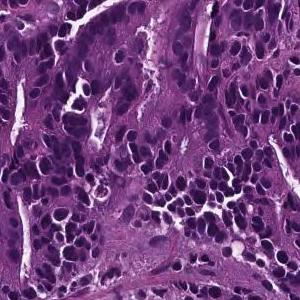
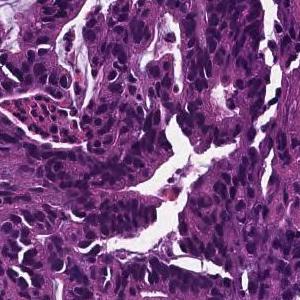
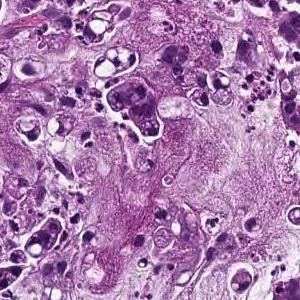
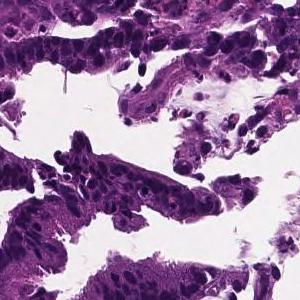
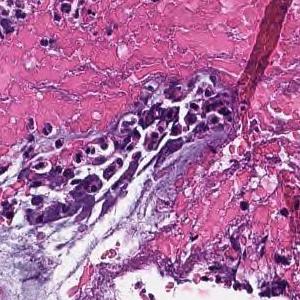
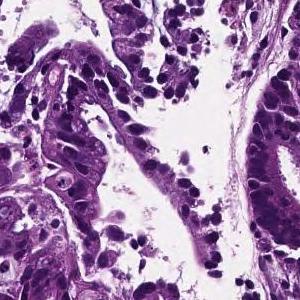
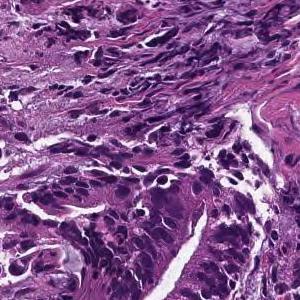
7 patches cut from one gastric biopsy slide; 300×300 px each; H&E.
Pathology report for the biopsy slide these tiles were cut from. Both the report and the diagnosis are for the whole slide: these tiles need not show every feature named, and some of the tissue shown may not be tumor.
On the superficial epithelium, tumor tissue consisting of large irregular glandular ducts partially fused and infiltrated is observed. Well to moderately differentiated tubular adenocarcinoma (well differentiated tubular adenocarcinoma, moderately differentiated tubular adenocarcinoma)
Subtype: Well to moderately differentiated tubular adenocarcinoma.
